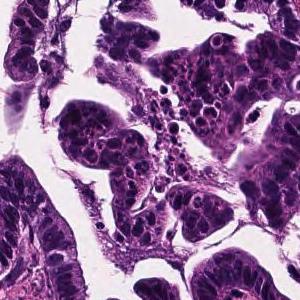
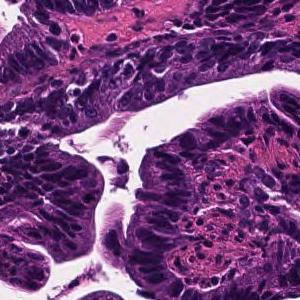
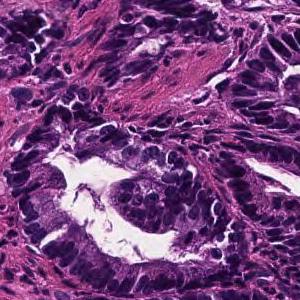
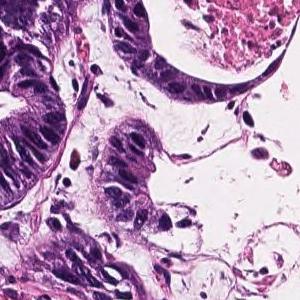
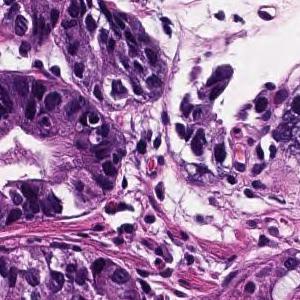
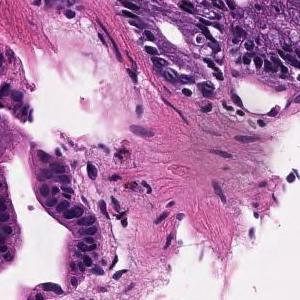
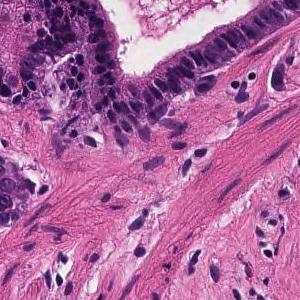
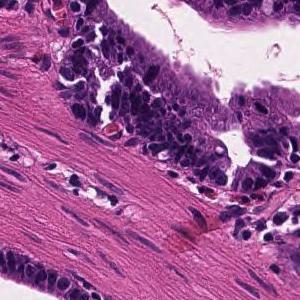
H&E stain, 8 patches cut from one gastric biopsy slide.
Report on the slide these tiles come from. Both the report and the diagnosis are for the whole slide: these tiles need not show every feature named, and some of the tissue shown may not be tumor.
Tumor cells are large, highly columnar, large club-shaped nuclei, and are associated with chromatin aggregation. Papillary adenocarcinoma.
